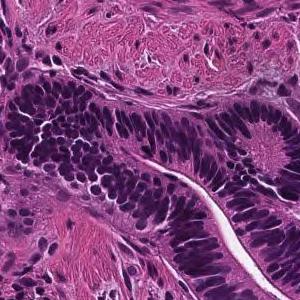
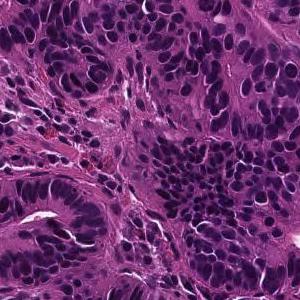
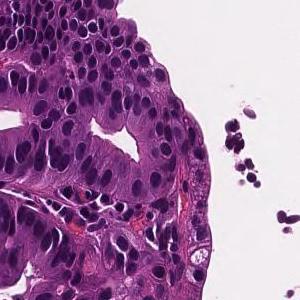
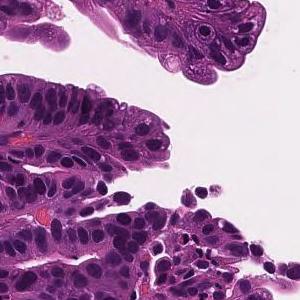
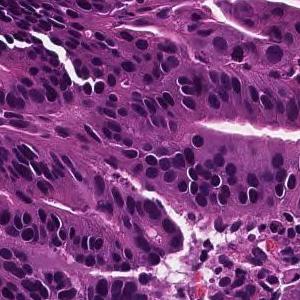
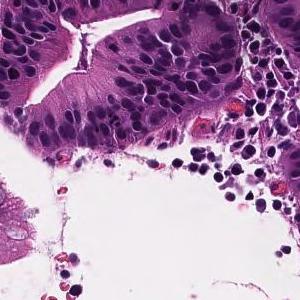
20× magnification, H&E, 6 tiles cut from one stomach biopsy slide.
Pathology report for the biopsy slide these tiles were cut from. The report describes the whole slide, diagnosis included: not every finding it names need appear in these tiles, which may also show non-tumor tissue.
From the superficial epithelium to the muscularis mucosae, tumor tissue consisting of medium-sized and irregular glandular ducts infiltrating is observed. Well differentiated tubular adenocarcinoma
